Hematoxylin and eosin stain · 8 tiles from the same stomach biopsy slide · each 300 × 300 pixels.
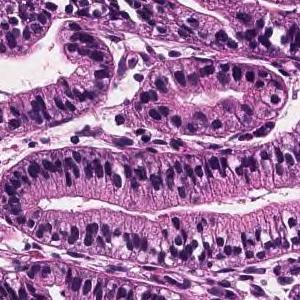
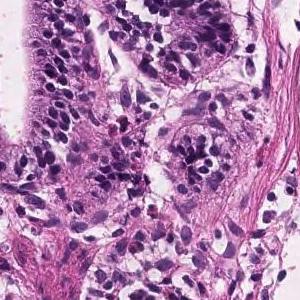
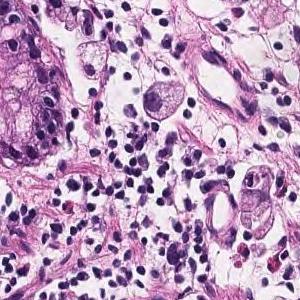
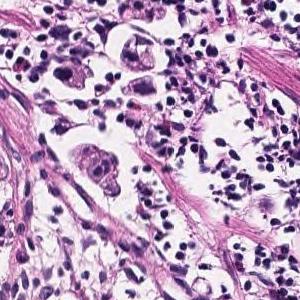
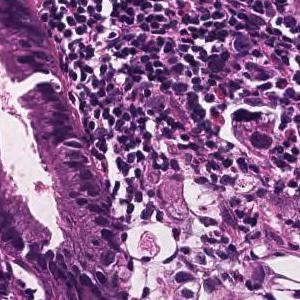
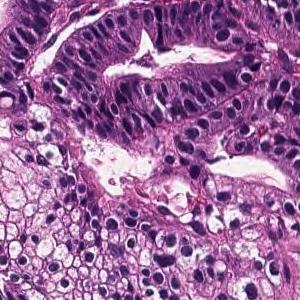
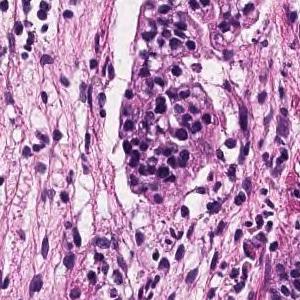
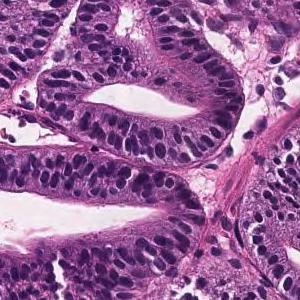
Pathology report for the slide these tiles were cut from. Both the report and the diagnosis are for the whole slide: these tiles need not show every feature named, and some of the tissue shown may not be tumor.
Tumor tissue consisting of large papillary structures or irregular glandular ducts partially fused and infiltrated is observed in the superficial epithelium. Well to moderately differentiated tubular adenocarcinoma.
Dataset label: moderately differentiated tubular adenocarcinoma.
